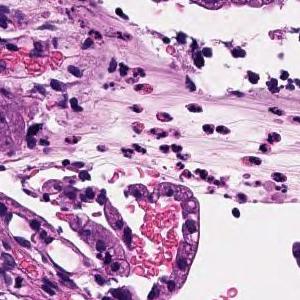
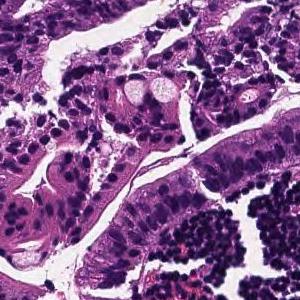
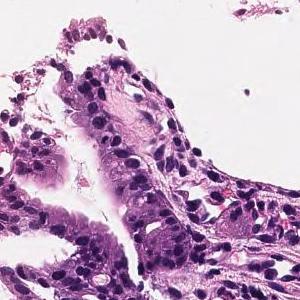
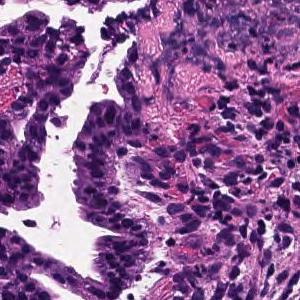
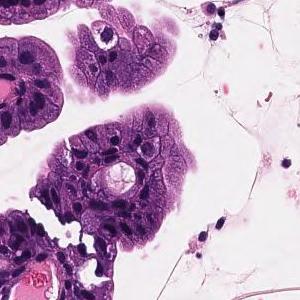
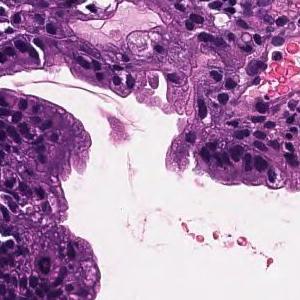
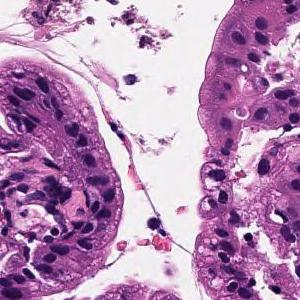
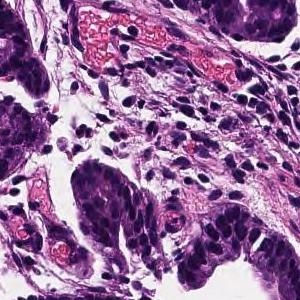
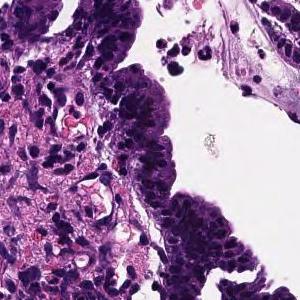
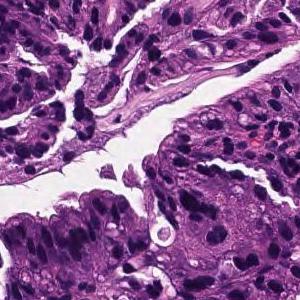
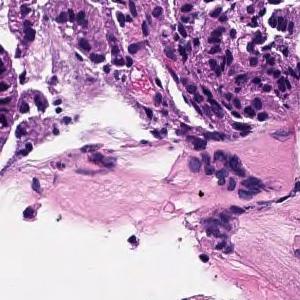
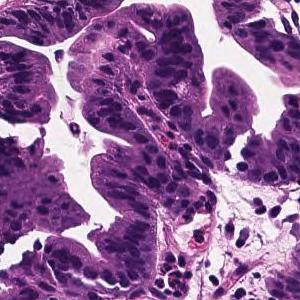
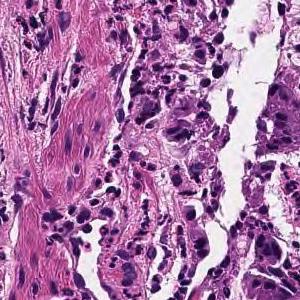
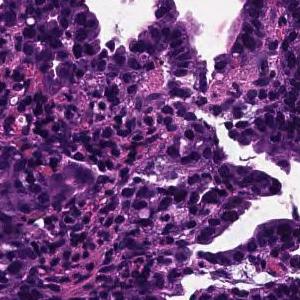
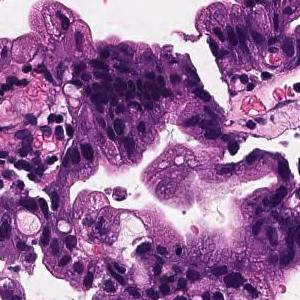
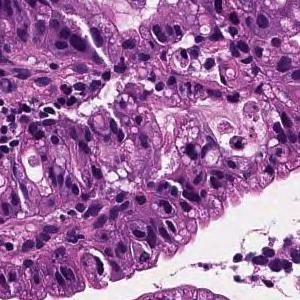
H&E; 16 tiles cut from one stomach biopsy slide.
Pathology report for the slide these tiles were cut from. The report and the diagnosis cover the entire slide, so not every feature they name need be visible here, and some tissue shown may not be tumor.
On the superficial epithelium, tumor tissue that infiltrates by forming medium-sized papillary or small irregular ducts is observed. Papillary adenocarcinoma
